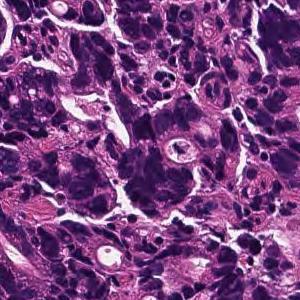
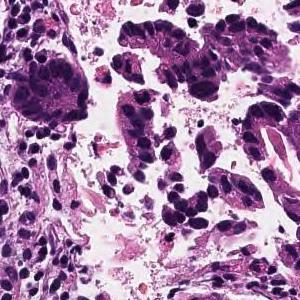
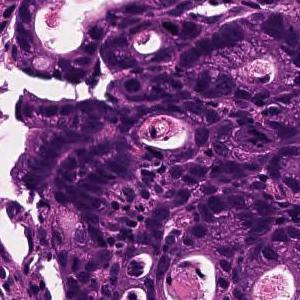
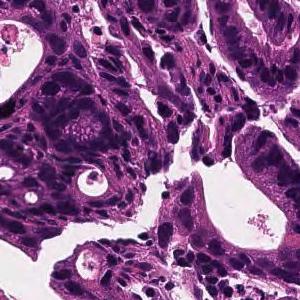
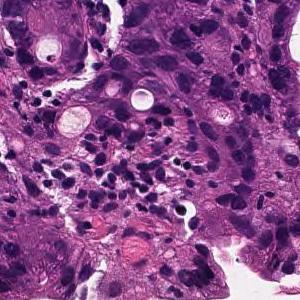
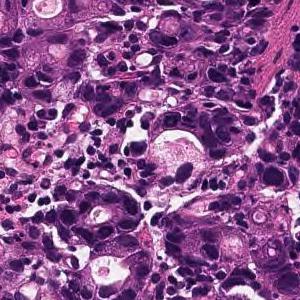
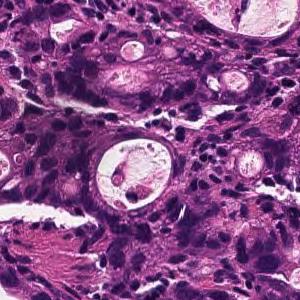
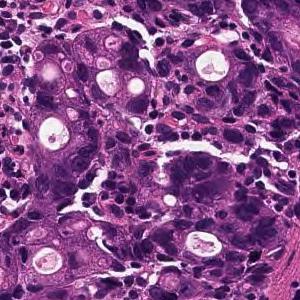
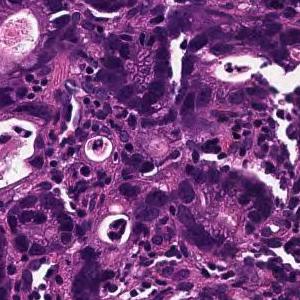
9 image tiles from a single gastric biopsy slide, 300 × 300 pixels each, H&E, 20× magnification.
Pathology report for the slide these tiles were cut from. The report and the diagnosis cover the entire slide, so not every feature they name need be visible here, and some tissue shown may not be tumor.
In the superficial epithelium, tumor tissue that invades by forming medium-sized to small, irregular ducts is observed. moderately differentiated tubular adenocarcinoma.
